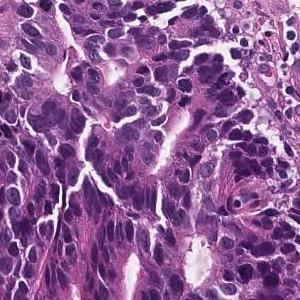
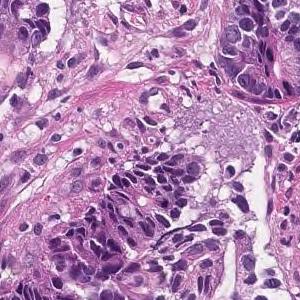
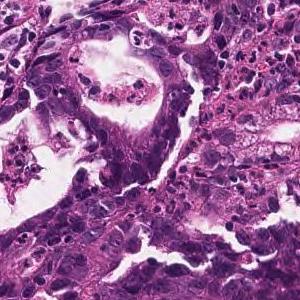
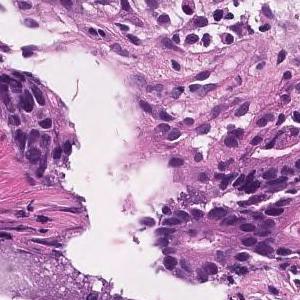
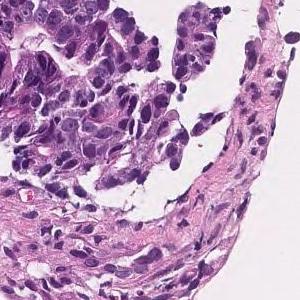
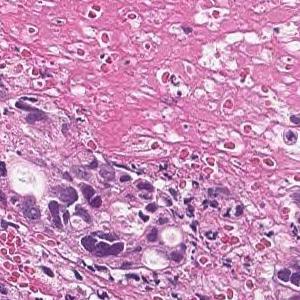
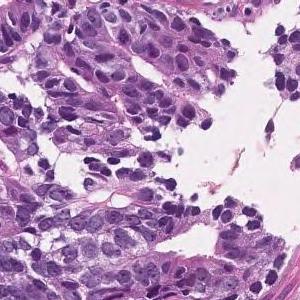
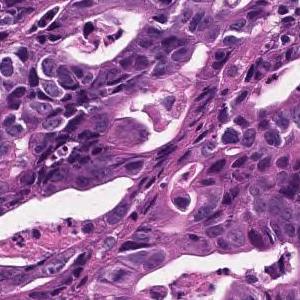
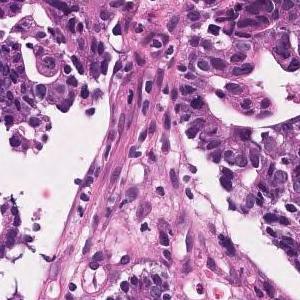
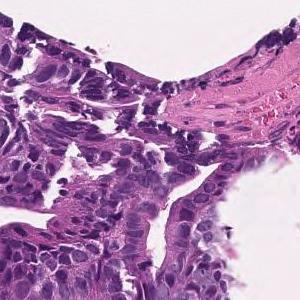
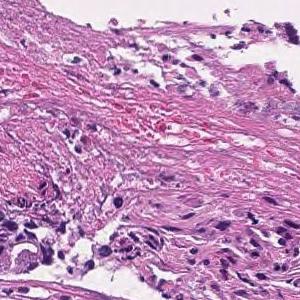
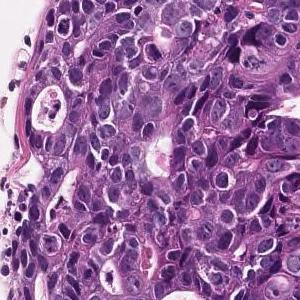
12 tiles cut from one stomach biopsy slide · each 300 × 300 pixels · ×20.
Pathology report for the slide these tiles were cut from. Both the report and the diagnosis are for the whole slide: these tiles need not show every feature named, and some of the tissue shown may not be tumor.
In the superficial epithelium, tumor tissue that invades by forming medium-sized to small, irregular ducts is observed. moderately differentiated tubular adenocarcinoma.
